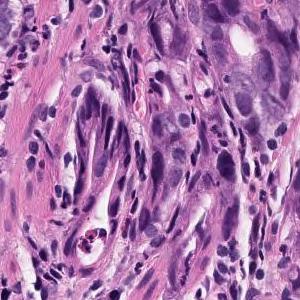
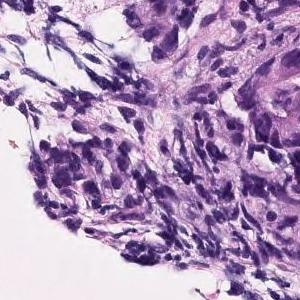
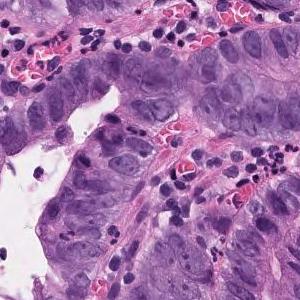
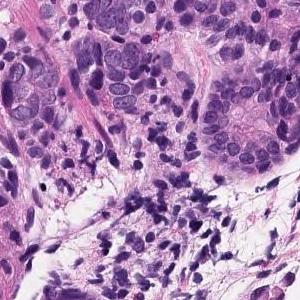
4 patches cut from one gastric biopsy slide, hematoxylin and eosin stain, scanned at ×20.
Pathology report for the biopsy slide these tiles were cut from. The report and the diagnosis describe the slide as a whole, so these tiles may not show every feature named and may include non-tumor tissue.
The swollen atypical epithelium of the nucleus forms an irregular ductal structure and proliferates. moderately differentiated tubular adenocarcinoma
